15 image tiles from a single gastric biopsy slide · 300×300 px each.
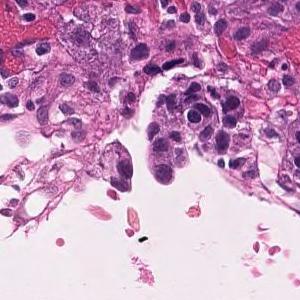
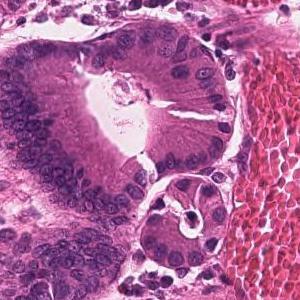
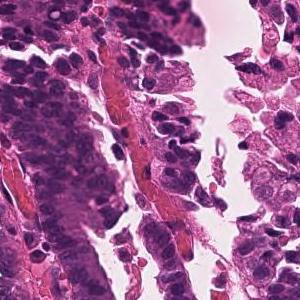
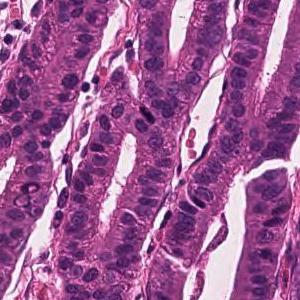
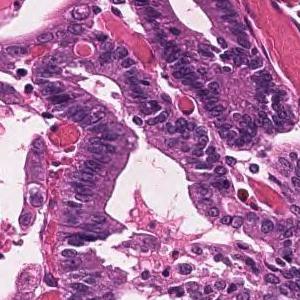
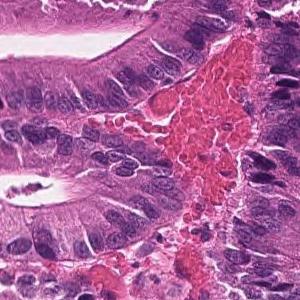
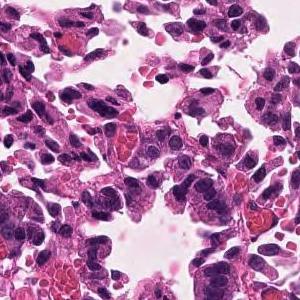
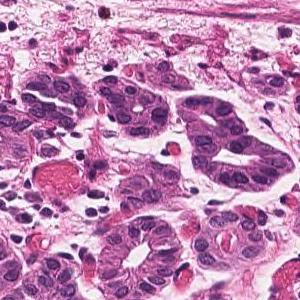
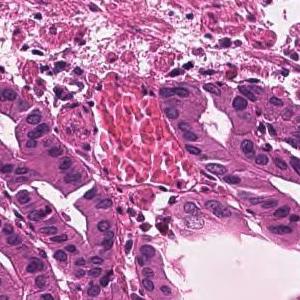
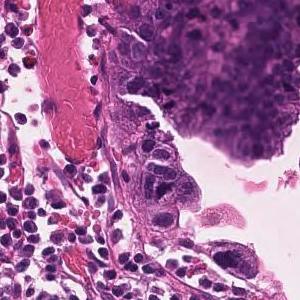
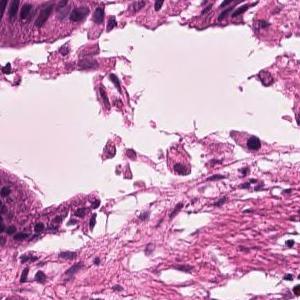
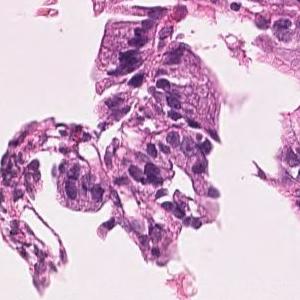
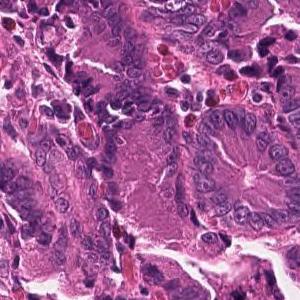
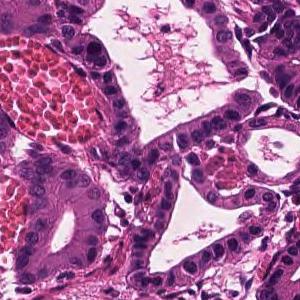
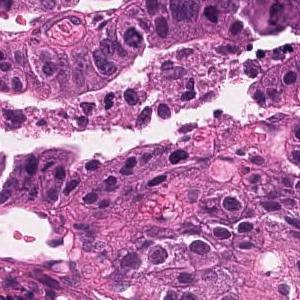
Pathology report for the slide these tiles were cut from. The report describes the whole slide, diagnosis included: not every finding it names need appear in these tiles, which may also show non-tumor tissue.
Infiltrating tumor tissue with medium-sized, irregular ductal structure or large papillary appearance is observed. Well differentiated tubular adenocarcinoma
